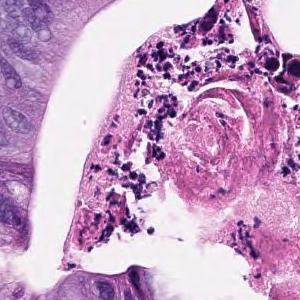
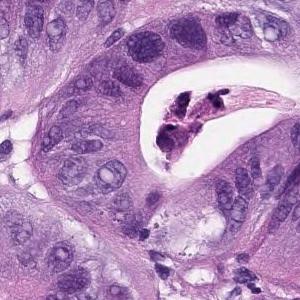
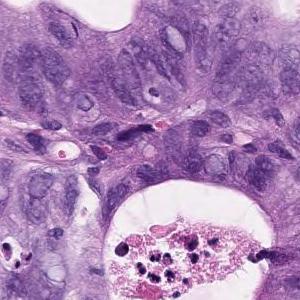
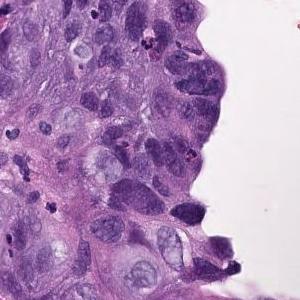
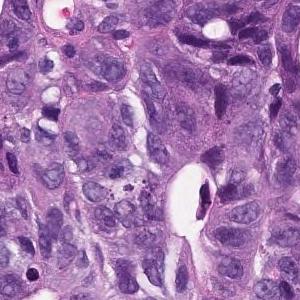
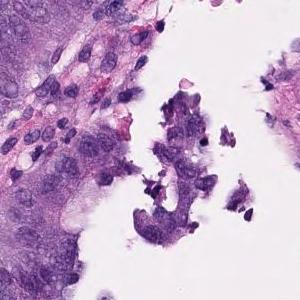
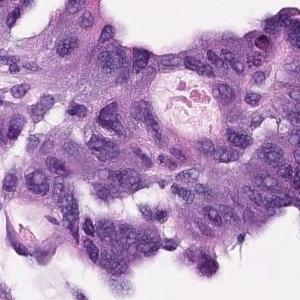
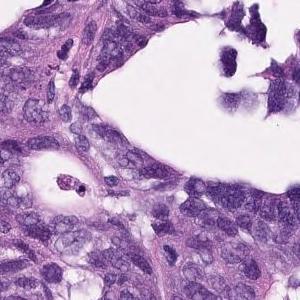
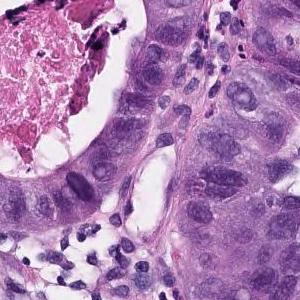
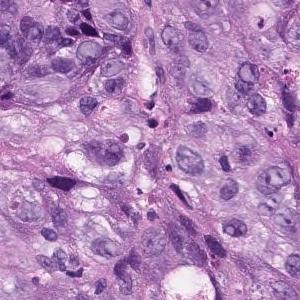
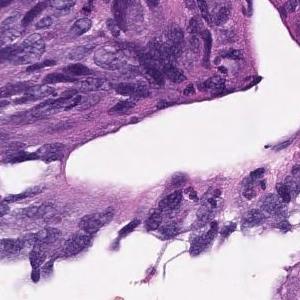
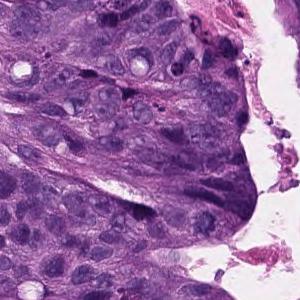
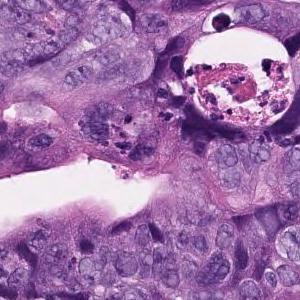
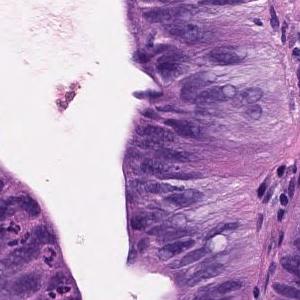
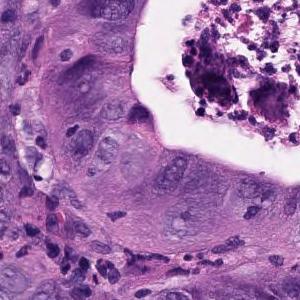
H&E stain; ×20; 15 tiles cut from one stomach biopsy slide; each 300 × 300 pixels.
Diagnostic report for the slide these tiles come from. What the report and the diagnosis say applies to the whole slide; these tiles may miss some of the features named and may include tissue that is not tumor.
In the superficial epithelium, tumor tissue that invades by forming medium-sized to small, irregular ducts is observed. Moderately differentiated adenocarcinoma.
Histological subtype: Moderately differentiated tubular adenocarcinoma.
